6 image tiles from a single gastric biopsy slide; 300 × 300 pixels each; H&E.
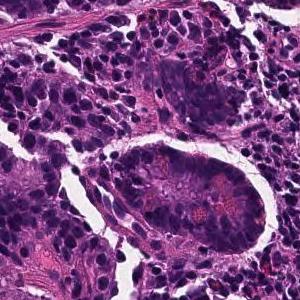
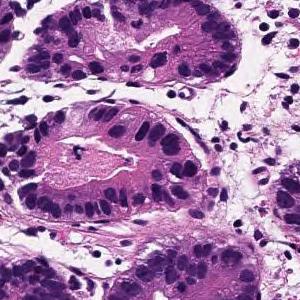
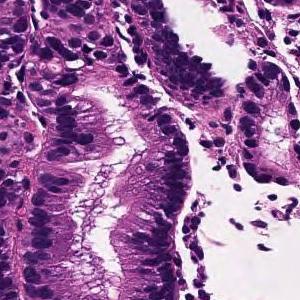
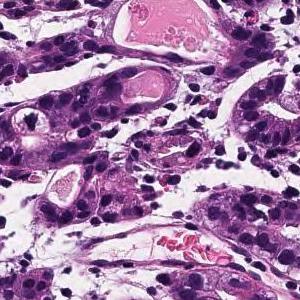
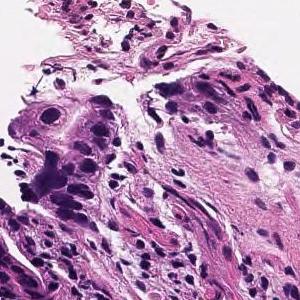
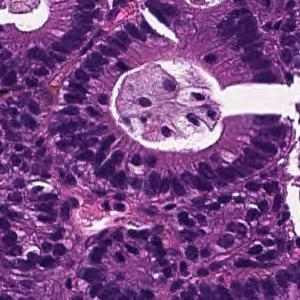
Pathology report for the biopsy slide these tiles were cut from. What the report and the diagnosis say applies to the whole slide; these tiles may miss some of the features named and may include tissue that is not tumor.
From the superficial epithelium to the muscularis mucosae, tumor tissue consisting of medium-sized and irregular glandular ducts infiltrating is observed. Well differentiated tubular adenocarcinoma
